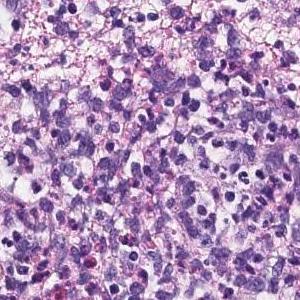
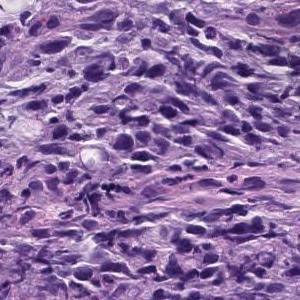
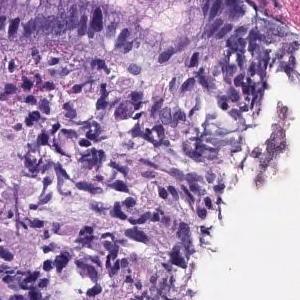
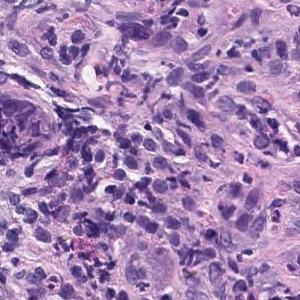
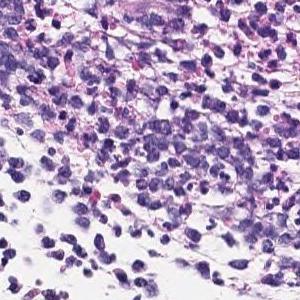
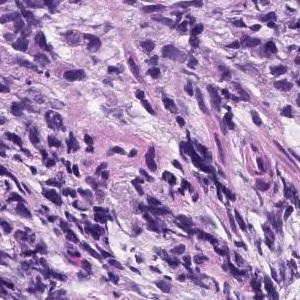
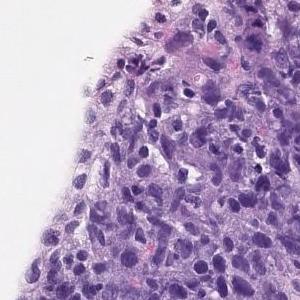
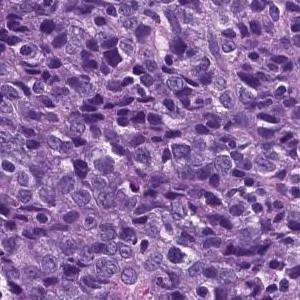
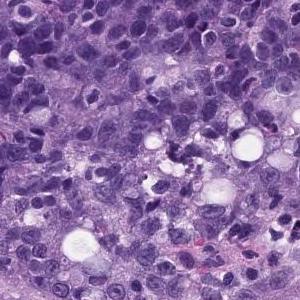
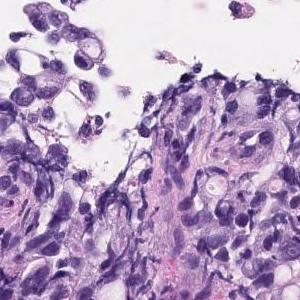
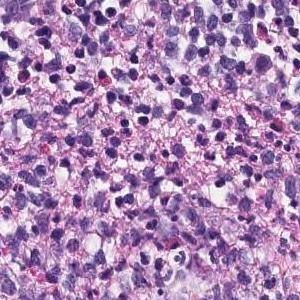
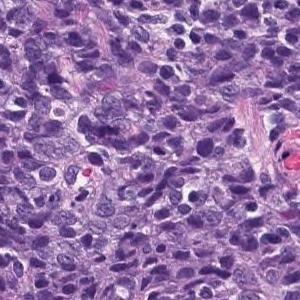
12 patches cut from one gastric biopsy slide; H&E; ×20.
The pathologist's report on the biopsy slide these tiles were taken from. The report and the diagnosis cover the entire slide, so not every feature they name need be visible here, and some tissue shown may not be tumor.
The superficial epithelium shows a large sheet-like shape, and some tumor tissue infiltrates with small irregular ducts. Poorly differentiated adenocarcinoma, solid-type
Histological subtype: Poorly differentiated adenocarcinoma, solid type. This name comes from the Japanese Classification of Gastric Carcinoma; the WHO 2019 classification calls it tubular adenocarcinoma, poorly differentiated.
